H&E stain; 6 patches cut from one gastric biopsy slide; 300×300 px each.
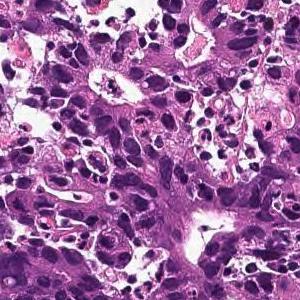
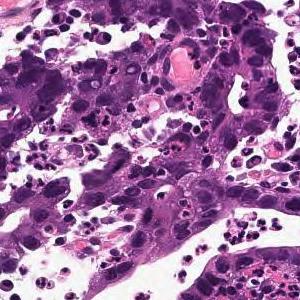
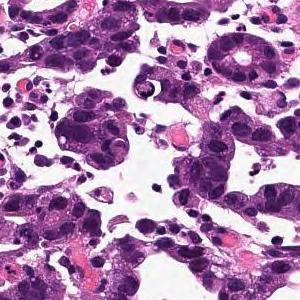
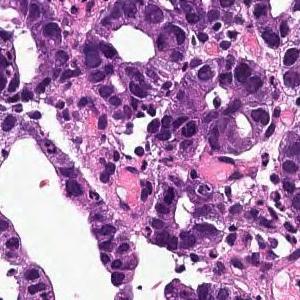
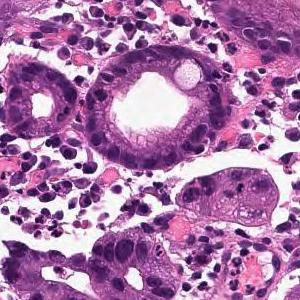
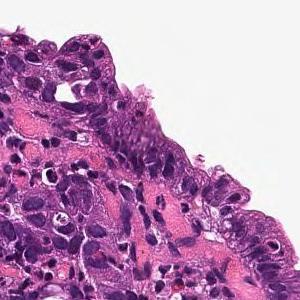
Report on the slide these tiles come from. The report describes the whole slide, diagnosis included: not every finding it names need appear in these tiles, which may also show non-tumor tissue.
On the superficial epithelium, a tumor tissue consisting of a large, irregular glandular duct partially fused and infiltrating with a small alveolar shape is observed. Well or moderately differentiated tubular adenocarcinoma (well differentiated tubular adenocarcinoma, moderately differentiated tubular adenocarcinoma)
Histological subtype: Well to moderately differentiated tubular adenocarcinoma.
